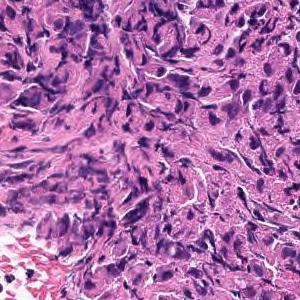
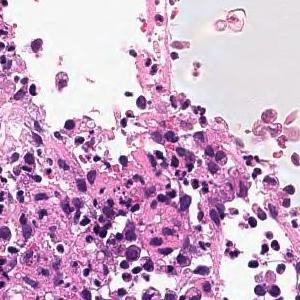
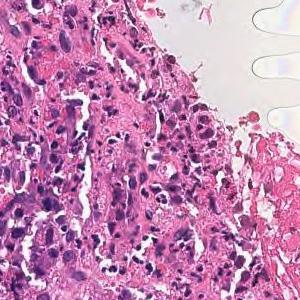
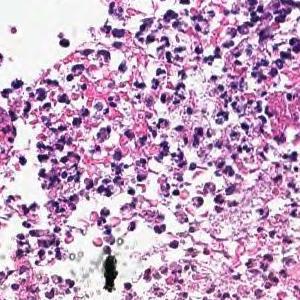
Scanned at ×20 · H&E stain · 4 tiles from the same stomach biopsy slide.
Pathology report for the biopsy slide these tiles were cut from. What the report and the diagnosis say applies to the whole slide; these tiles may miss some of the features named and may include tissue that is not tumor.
Tumor tissue consisting of diffusely infiltrated large atypical epithelial cells or signet ring atypical cells is observed in the superficial epithelium. Poorly differentiated adenocarcinoma, solid-type
Histologic type: Poorly differentiated adenocarcinoma, solid type (Japanese Classification of Gastric Carcinoma). The WHO 2019 equivalent is tubular adenocarcinoma, poorly differentiated.
